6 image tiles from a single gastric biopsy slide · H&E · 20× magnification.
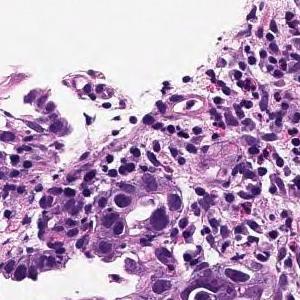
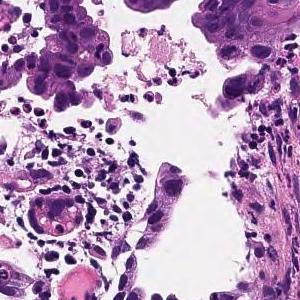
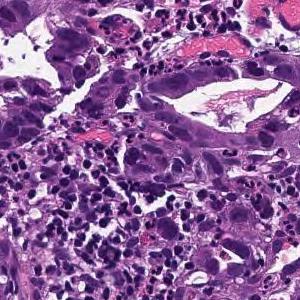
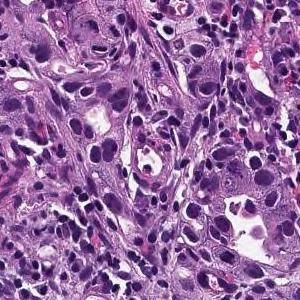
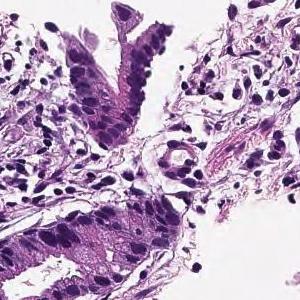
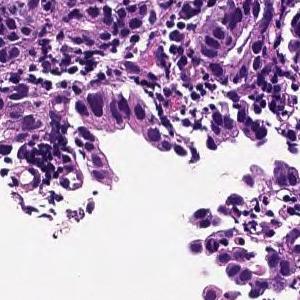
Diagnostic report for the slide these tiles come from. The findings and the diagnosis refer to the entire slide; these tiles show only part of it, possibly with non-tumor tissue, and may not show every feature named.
In the superficial epithelium, tumor tissue that invades by forming medium-sized to small, irregular ducts is observed. moderately differentiated tubular adenocarcinoma.
